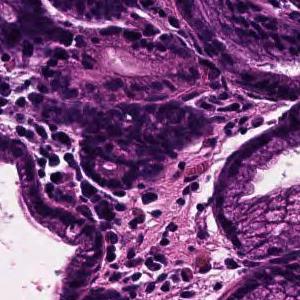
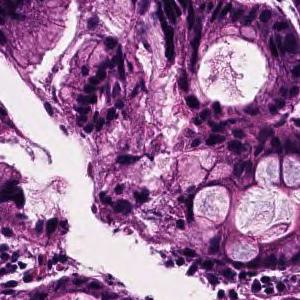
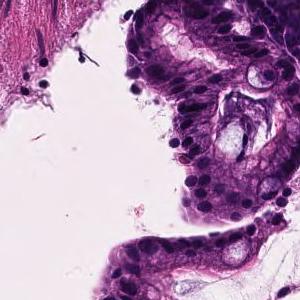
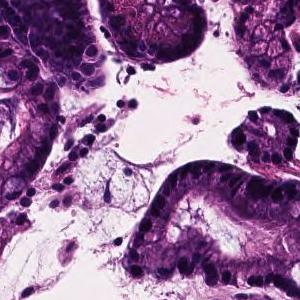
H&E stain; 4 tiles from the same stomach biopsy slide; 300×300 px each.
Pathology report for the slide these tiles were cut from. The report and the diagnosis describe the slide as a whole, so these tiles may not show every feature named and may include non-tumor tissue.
In the superficial epithelium, tumor tissue infiltrated by partial fusion of medium-sized to small, irregular glandular ducts is observed. moderately differentiated tubular adenocarcinoma
